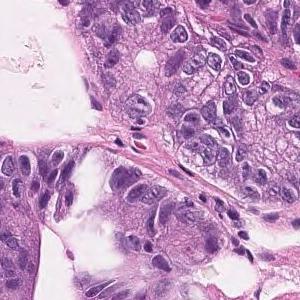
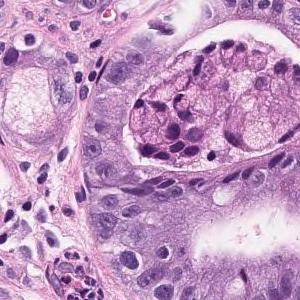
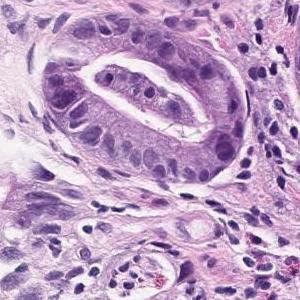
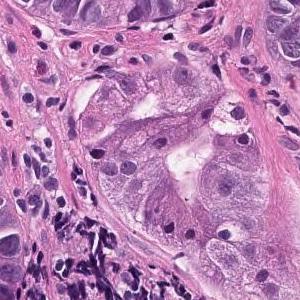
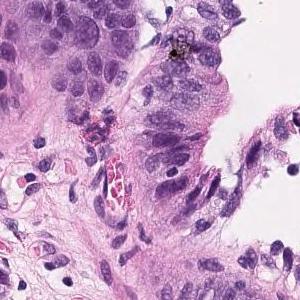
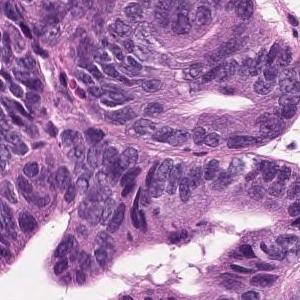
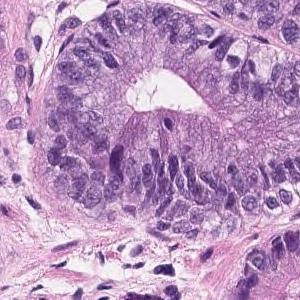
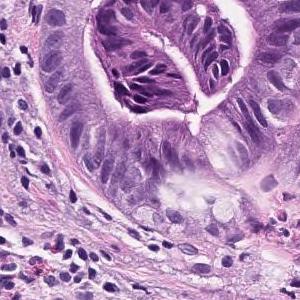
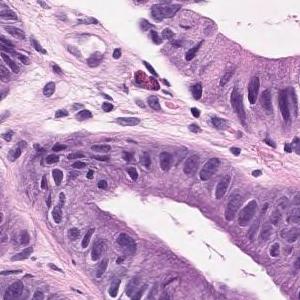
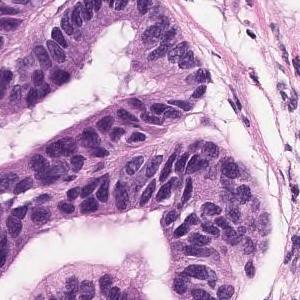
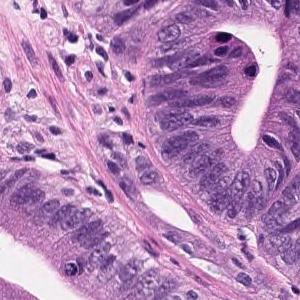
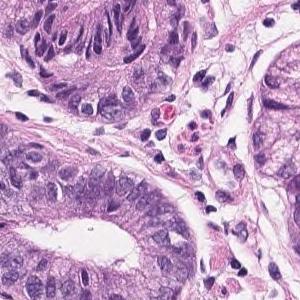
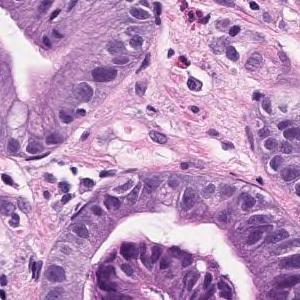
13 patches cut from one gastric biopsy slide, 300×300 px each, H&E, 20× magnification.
Pathology report for the biopsy slide these tiles were cut from. The report and the diagnosis cover the entire slide, so not every feature they name need be visible here, and some tissue shown may not be tumor.
Atypical ducts that branch intricately are observed. Well differentiated tubular adenocarcinoma
